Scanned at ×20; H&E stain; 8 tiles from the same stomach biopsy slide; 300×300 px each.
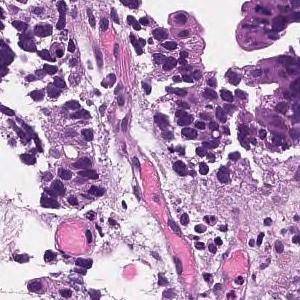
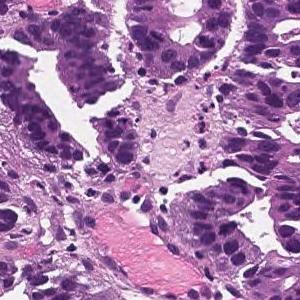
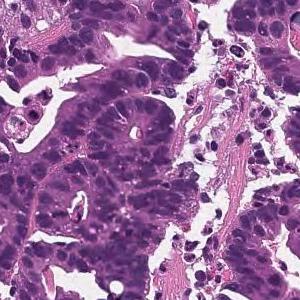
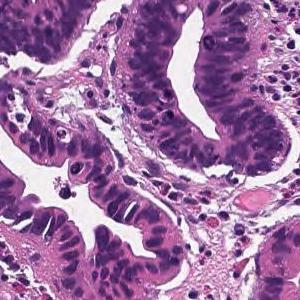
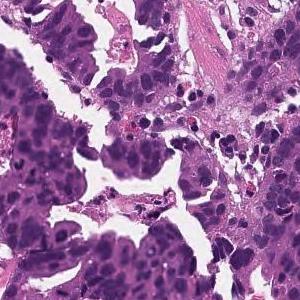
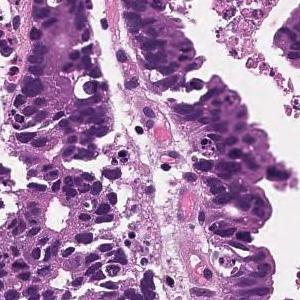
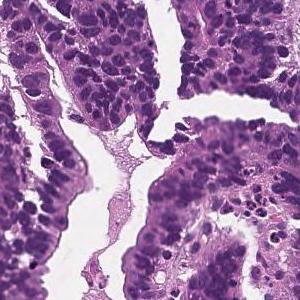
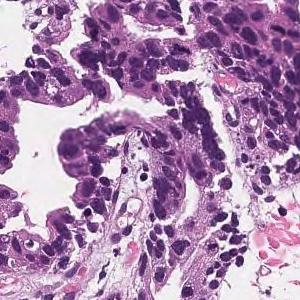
Pathology report for the slide these tiles were cut from. Both the report and the diagnosis are for the whole slide: these tiles need not show every feature named, and some of the tissue shown may not be tumor.
In the superficial epithelium, tumor tissue that invades by forming medium-sized to small, irregular ducts is observed. moderately differentiated tubular adenocarcinoma.
